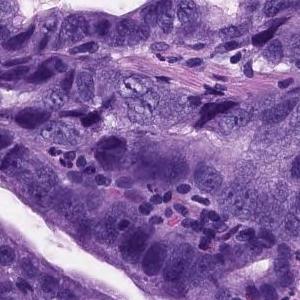
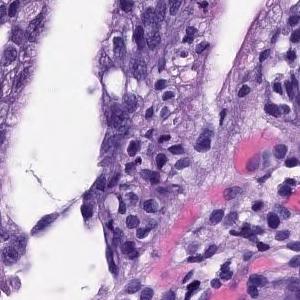
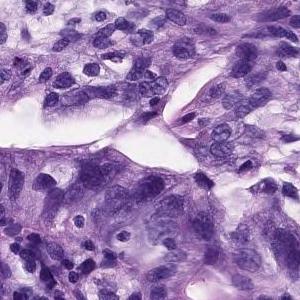
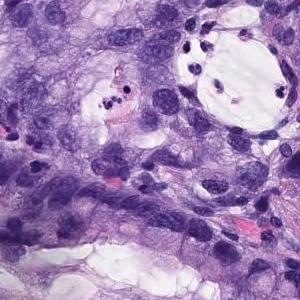
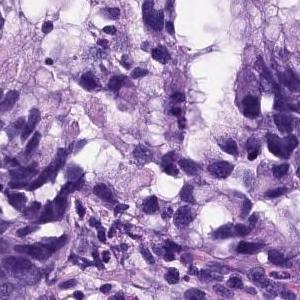
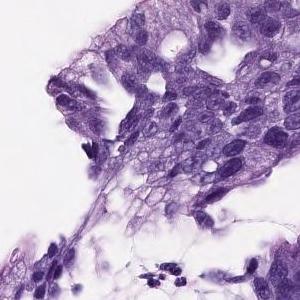
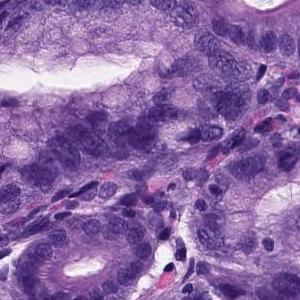
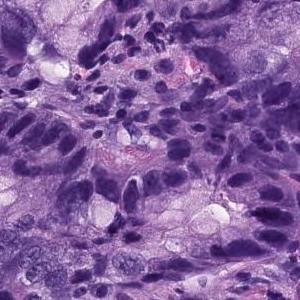
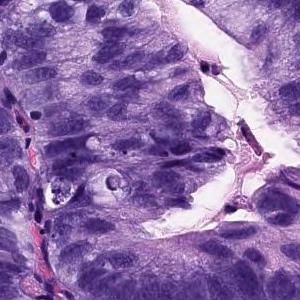
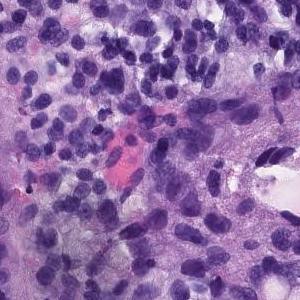
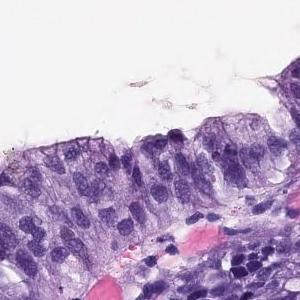
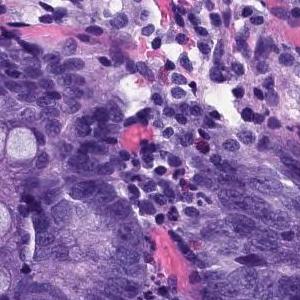
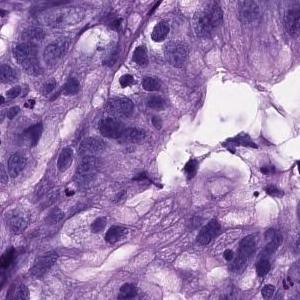
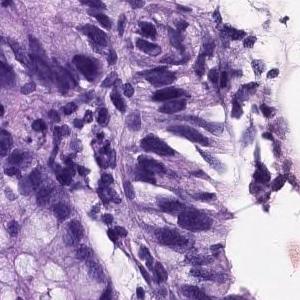
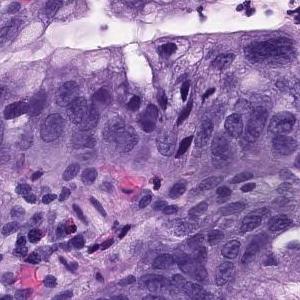
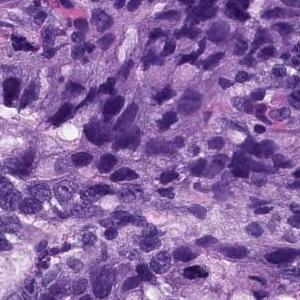
16 tiles cut from one stomach biopsy slide; H&E stain; 20× magnification.
Pathology report for the slide these tiles were cut from. The report and the diagnosis cover the entire slide, so not every feature they name need be visible here, and some tissue shown may not be tumor.
There are large atypical epithelial cells infiltrating and proliferating while forming atypical glandular cavities showing a fusion tendency. Moderately differentiated tubular adenocarcinoma.
